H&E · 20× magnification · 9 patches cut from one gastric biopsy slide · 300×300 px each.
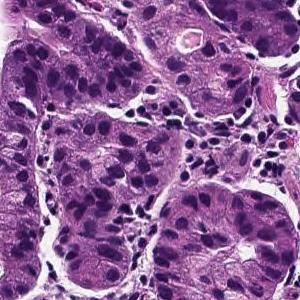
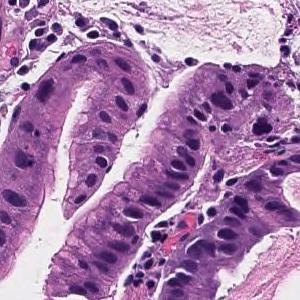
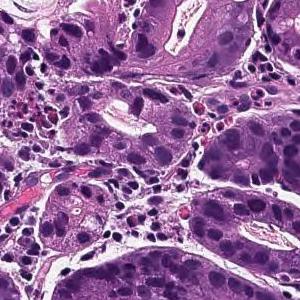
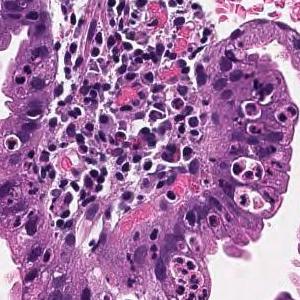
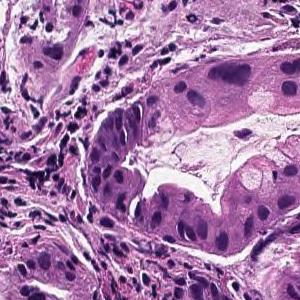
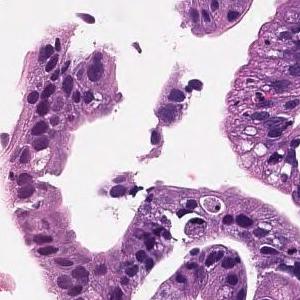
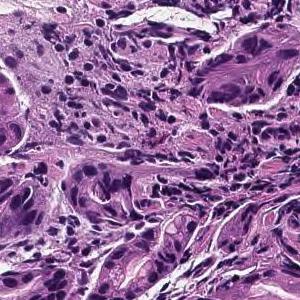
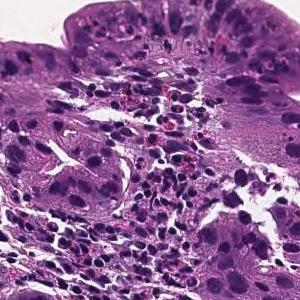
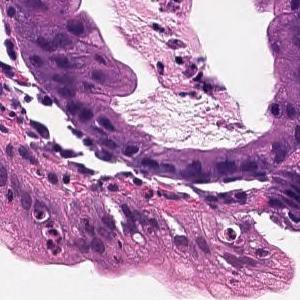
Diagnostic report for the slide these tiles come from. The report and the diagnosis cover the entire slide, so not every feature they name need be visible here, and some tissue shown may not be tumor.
From the superficial epithelium to the muscularis mucosae, tumor tissue consisting of medium-sized and irregular glandular ducts infiltrating is observed. Well differentiated tubular adenocarcinoma
